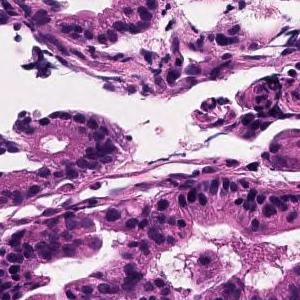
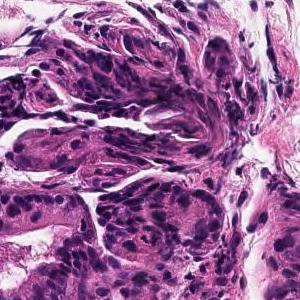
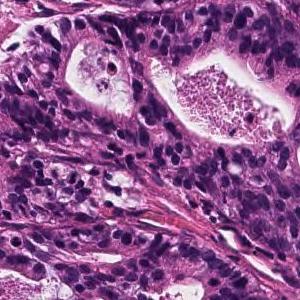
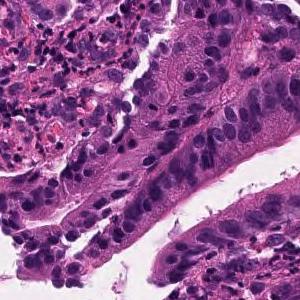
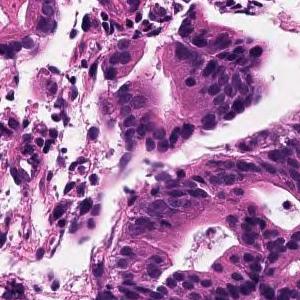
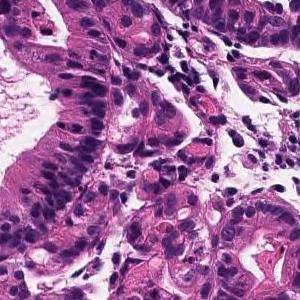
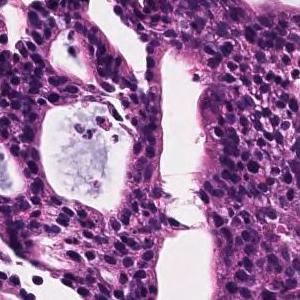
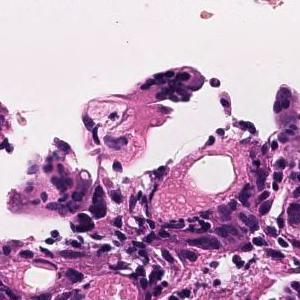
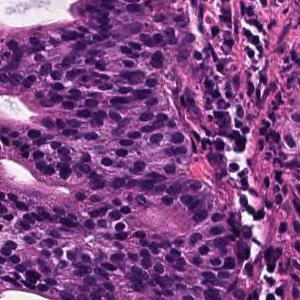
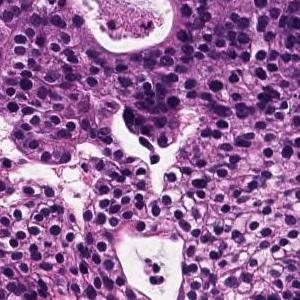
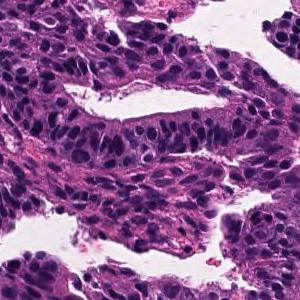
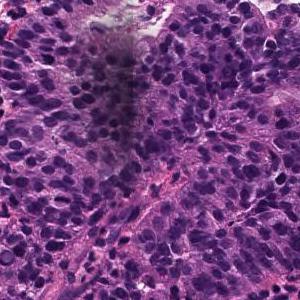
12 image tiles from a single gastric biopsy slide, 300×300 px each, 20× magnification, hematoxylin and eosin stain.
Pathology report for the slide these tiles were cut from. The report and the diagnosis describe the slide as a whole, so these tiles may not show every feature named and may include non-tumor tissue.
In the superficial epithelium, tumor tissue that invades by forming medium-sized to small, irregular ducts is observed. Moderately differentiated adenocarcinoma.
Histological subtype: Moderately differentiated tubular adenocarcinoma.
